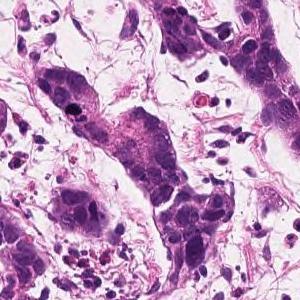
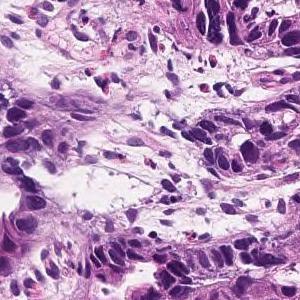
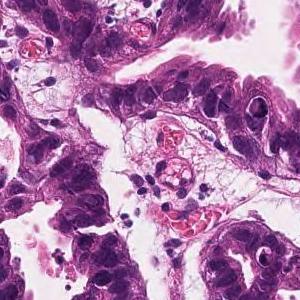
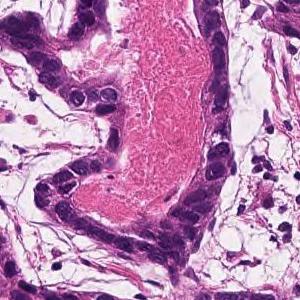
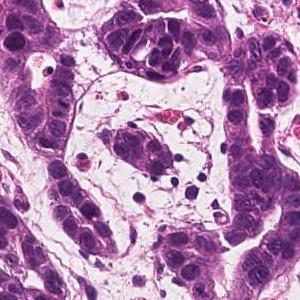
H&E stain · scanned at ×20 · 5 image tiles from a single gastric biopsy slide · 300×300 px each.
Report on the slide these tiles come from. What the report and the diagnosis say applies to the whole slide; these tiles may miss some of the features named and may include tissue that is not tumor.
In the superficial epithelium, tumor tissue that invades by forming medium-sized to small, irregular ducts is observed. Well differentiated tubular adenocarcinoma.
